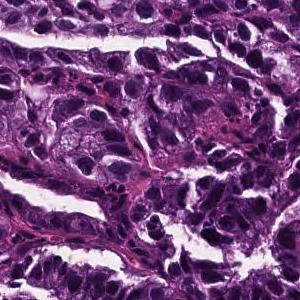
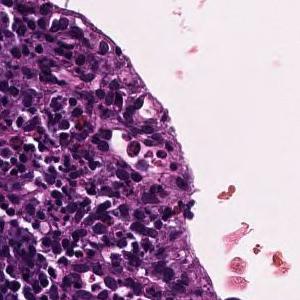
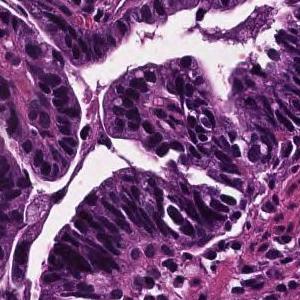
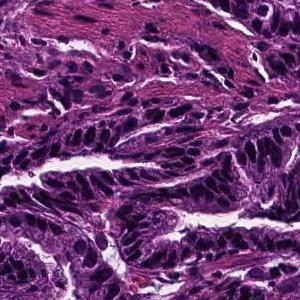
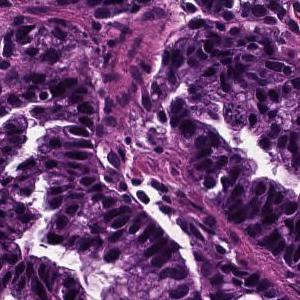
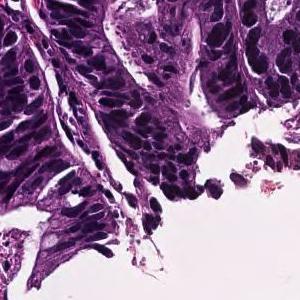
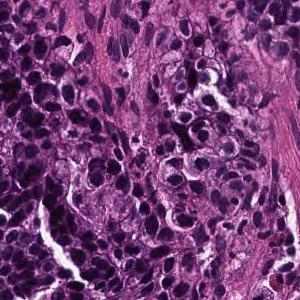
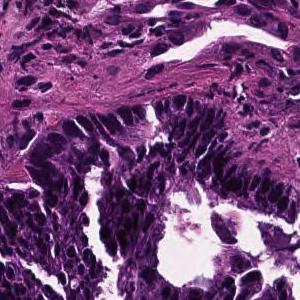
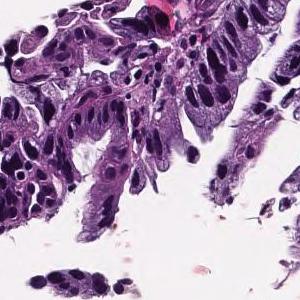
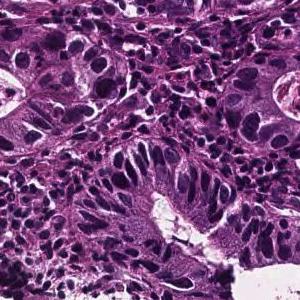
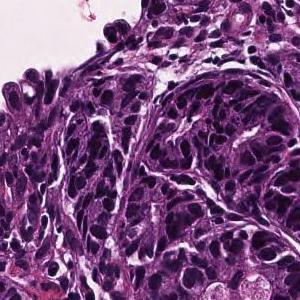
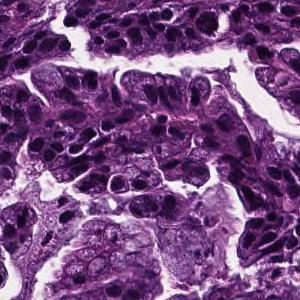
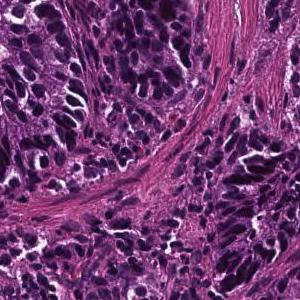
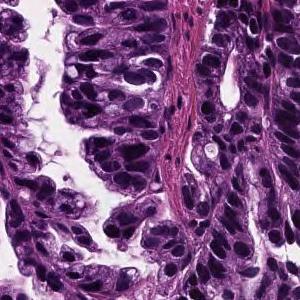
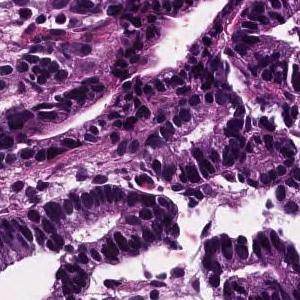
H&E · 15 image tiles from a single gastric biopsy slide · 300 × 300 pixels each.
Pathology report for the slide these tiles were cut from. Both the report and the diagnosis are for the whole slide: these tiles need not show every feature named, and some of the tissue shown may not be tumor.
In the superficial epithelium, tumor tissue that invades by forming medium-sized to small, irregular ducts is observed. Well differentiated tubular adenocarcinoma.
